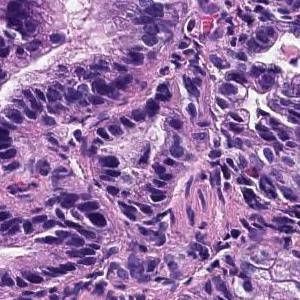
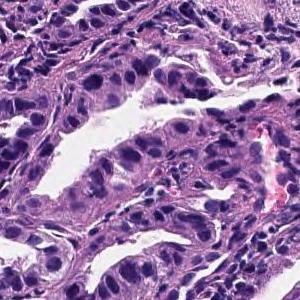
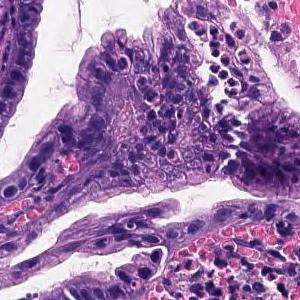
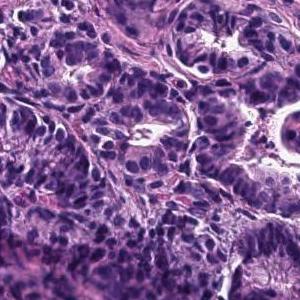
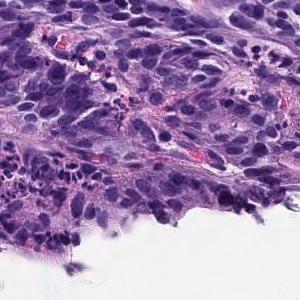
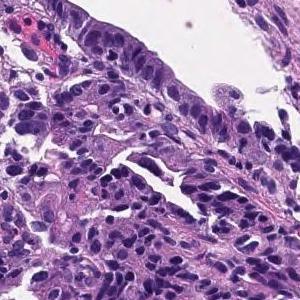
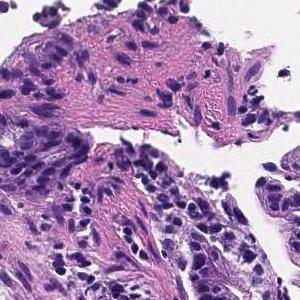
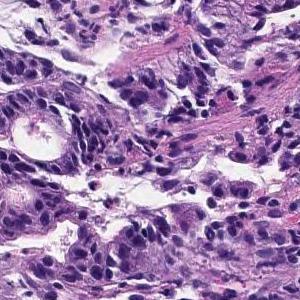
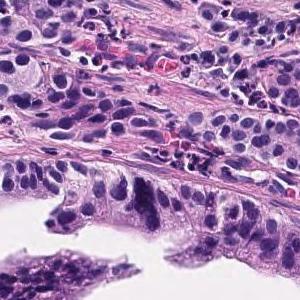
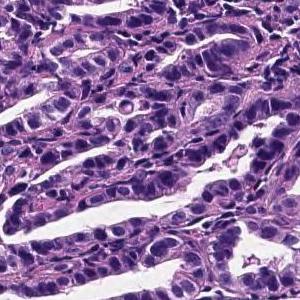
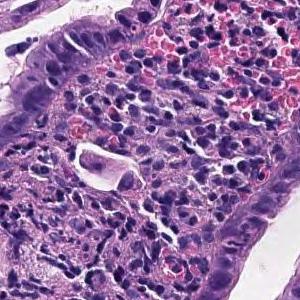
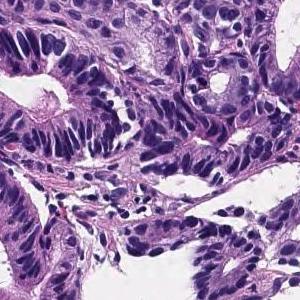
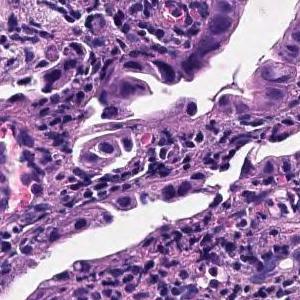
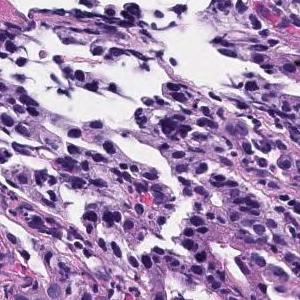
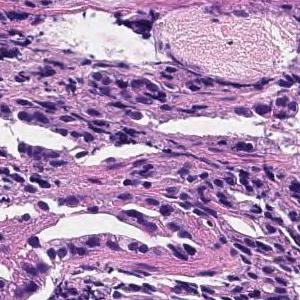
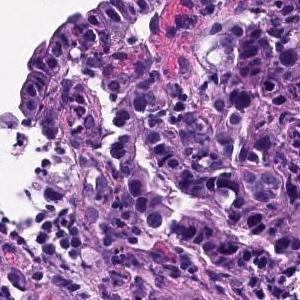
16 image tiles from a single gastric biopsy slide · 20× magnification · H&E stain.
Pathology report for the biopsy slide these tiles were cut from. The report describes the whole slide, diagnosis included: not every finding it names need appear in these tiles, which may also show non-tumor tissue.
The superficial tumors shows large papillary structures or large and small ducts and infiltrates. Papillary adenocarcinoma.
